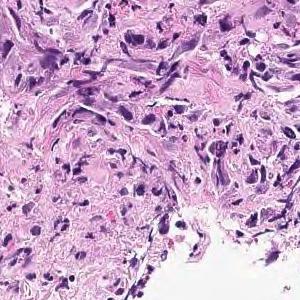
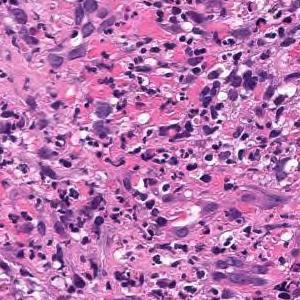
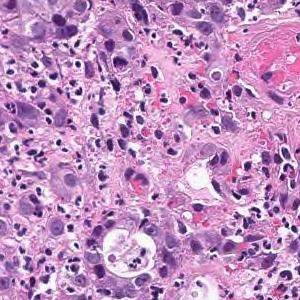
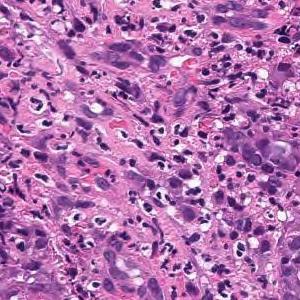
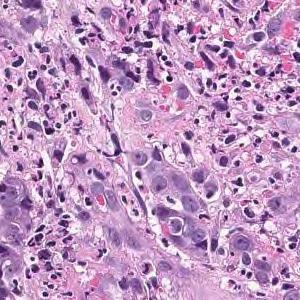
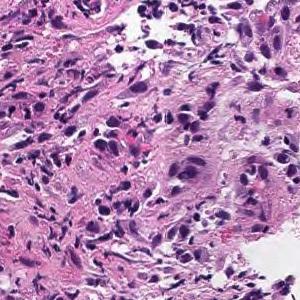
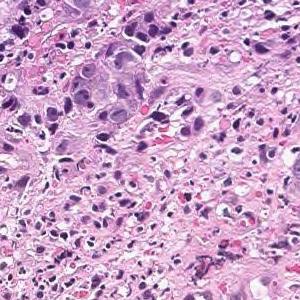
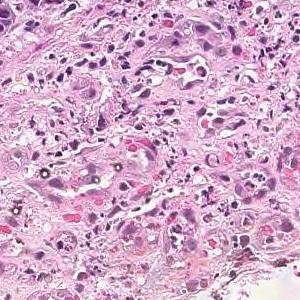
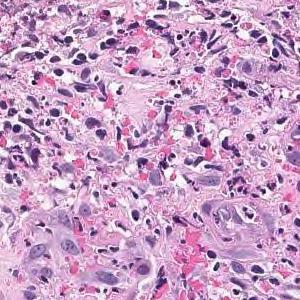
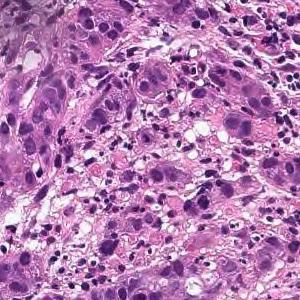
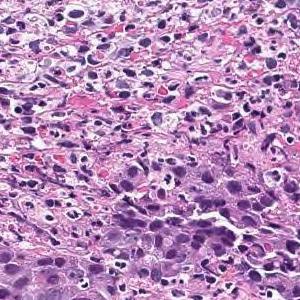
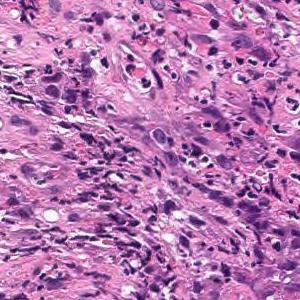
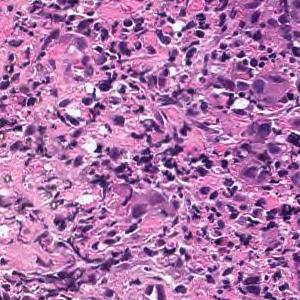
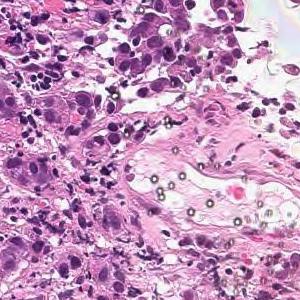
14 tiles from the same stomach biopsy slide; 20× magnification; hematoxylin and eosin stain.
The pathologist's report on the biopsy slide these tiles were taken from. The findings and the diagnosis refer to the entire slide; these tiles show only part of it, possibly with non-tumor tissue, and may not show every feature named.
Tumor tissue consisting of cord-like or small, irregular glandular ducts fused and infiltrated is observed in the superficial epithelium. Poorly differentiated adenocarcinoma, non-solid type
"Non-solid type" is a category of the Japanese Classification of Gastric Carcinoma.
